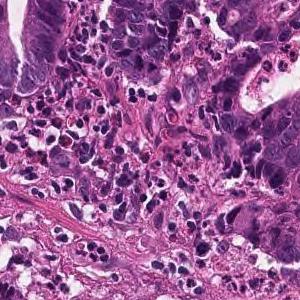
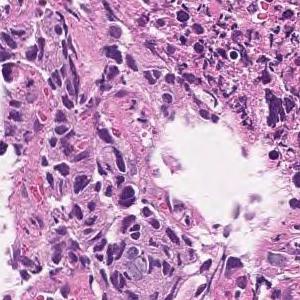
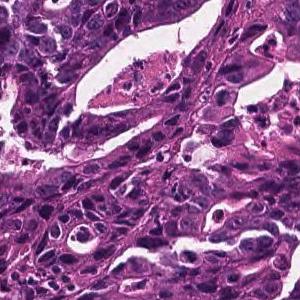
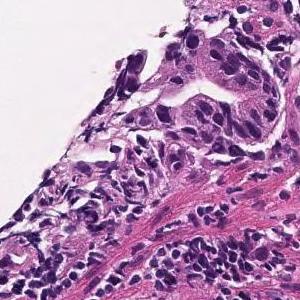
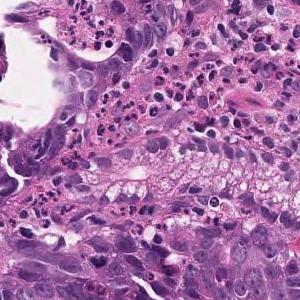
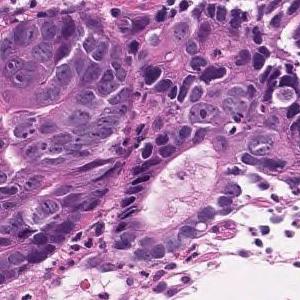
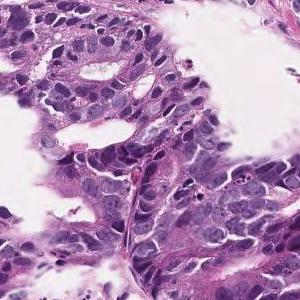
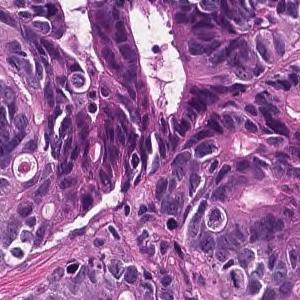
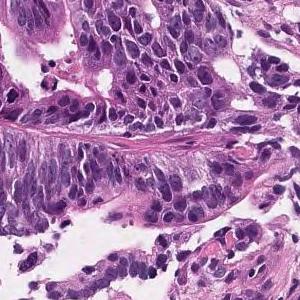
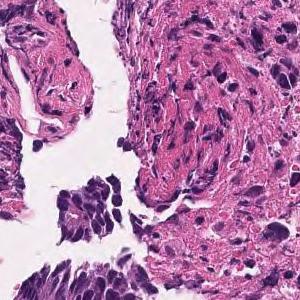
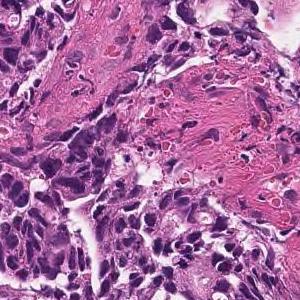
H&E; 20× magnification; 11 tiles cut from one stomach biopsy slide.
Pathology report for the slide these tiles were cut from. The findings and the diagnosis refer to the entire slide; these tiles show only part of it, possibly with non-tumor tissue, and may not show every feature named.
In the superficial epithelium, tumor tissue that invades by forming medium-sized to small, irregular ducts is observed. moderately differentiated tubular adenocarcinoma.
